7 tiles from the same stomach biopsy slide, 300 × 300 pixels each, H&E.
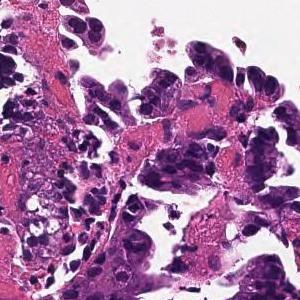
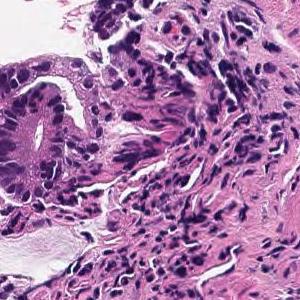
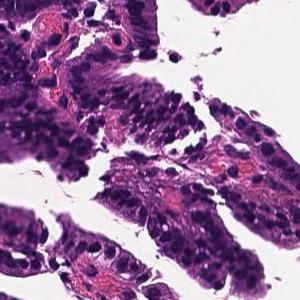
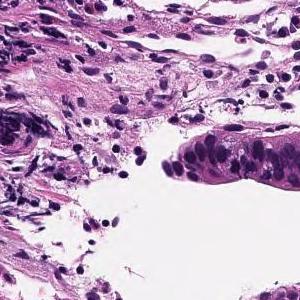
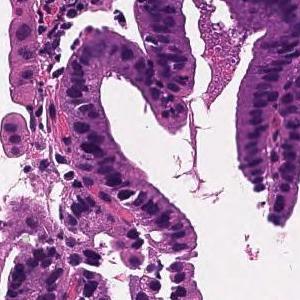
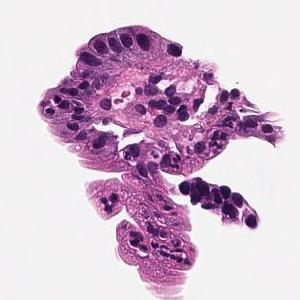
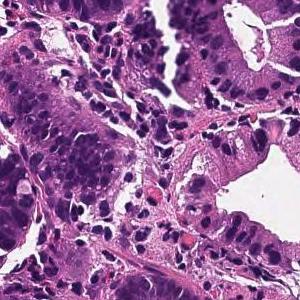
Report on the slide these tiles come from. Both the report and the diagnosis are for the whole slide: these tiles need not show every feature named, and some of the tissue shown may not be tumor.
Tumor cells are large, highly columnar, large club-shaped nuclei, and are associated with chromatin aggregation. Papillary adenocarcinoma.
